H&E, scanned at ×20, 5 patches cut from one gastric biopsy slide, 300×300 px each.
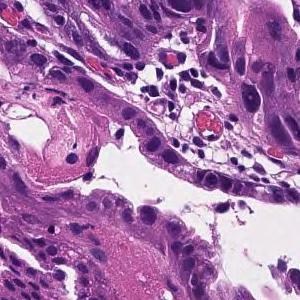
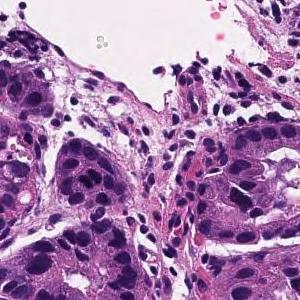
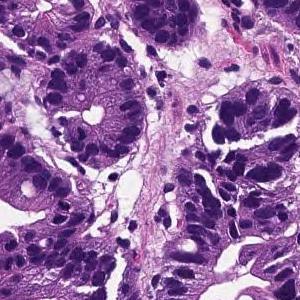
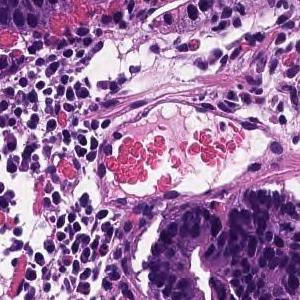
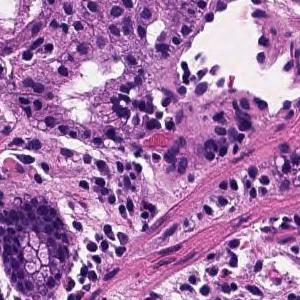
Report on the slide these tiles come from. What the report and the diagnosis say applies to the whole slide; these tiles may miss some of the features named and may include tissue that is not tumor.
From the superficial epithelium to the muscularis mucosae, tumor tissue consisting of medium-sized and irregular glandular ducts infiltrating is observed. Well differentiated tubular adenocarcinoma
